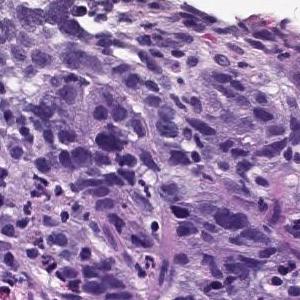
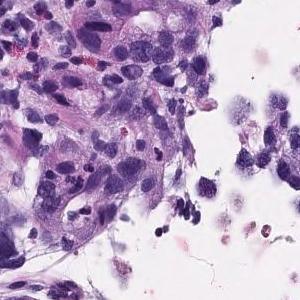
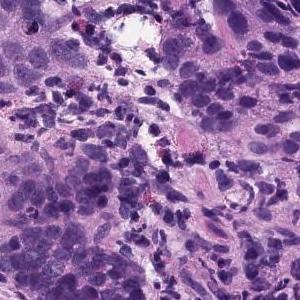
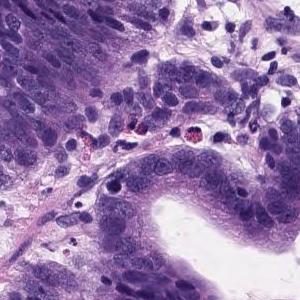
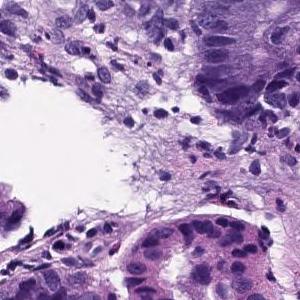
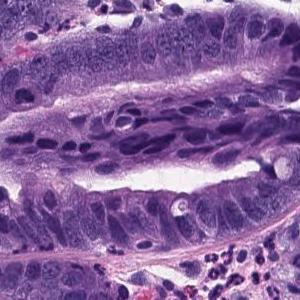
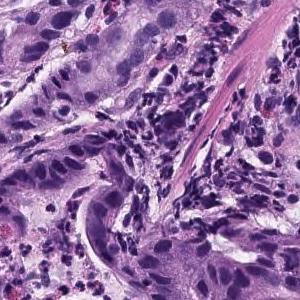
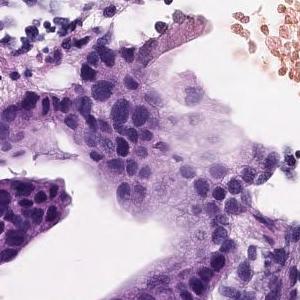
20× magnification; 8 tiles from the same stomach biopsy slide; each 300 × 300 pixels.
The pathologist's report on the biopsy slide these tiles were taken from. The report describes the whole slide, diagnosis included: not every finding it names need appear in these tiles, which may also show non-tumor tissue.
Tumor tissue consisting of large papillary structures is found in the superficial epithelium. Papillary adenocarcinoma.
